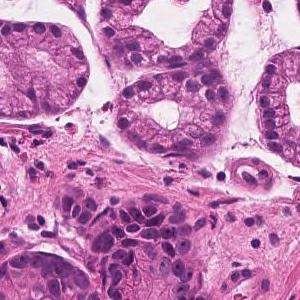
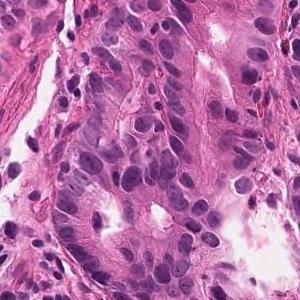
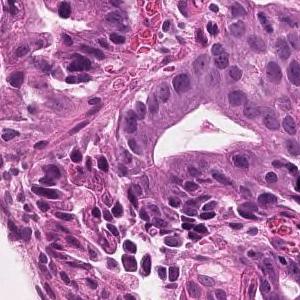
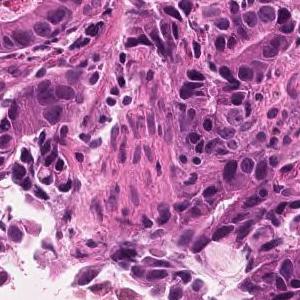
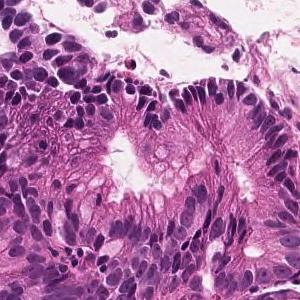
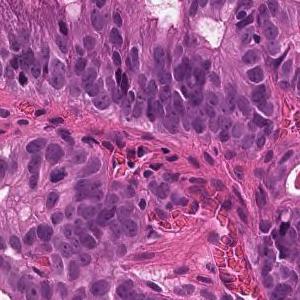
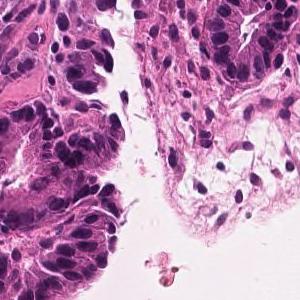
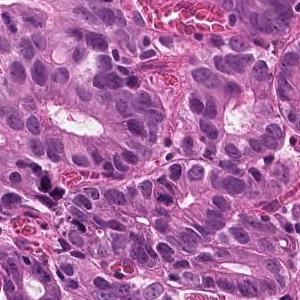
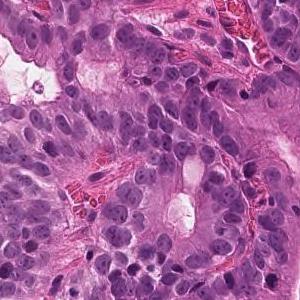
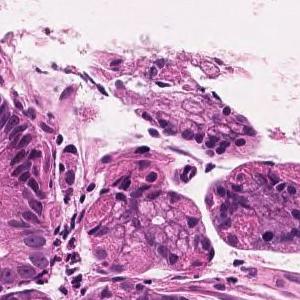
H&E stain; 20× magnification; 10 image tiles from a single gastric biopsy slide; each 300 × 300 pixels.
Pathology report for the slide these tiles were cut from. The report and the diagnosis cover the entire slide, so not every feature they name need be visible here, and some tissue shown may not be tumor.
In the superficial epithelium, tumor tissue that invades by forming medium-sized to small, irregular ducts is observed. Well differentiated tubular adenocarcinoma.
